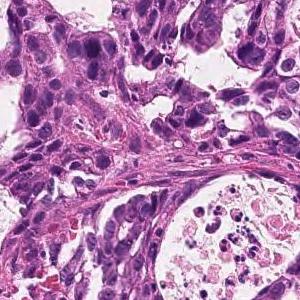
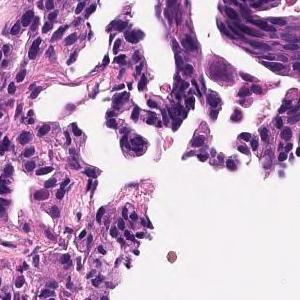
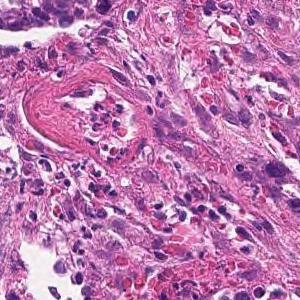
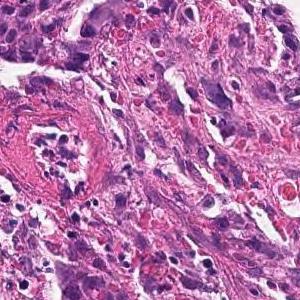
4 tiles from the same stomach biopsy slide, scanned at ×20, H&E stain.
Diagnostic report for the slide these tiles come from. The report and the diagnosis cover the entire slide, so not every feature they name need be visible here, and some tissue shown may not be tumor.
On the superficial epithelium, tumor tissue consisting of images of small to medium-sized and irregular tubules infiltrating with irregular fusion is observed. moderately differentiated tubular adenocarcinoma
